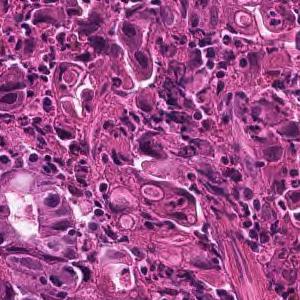
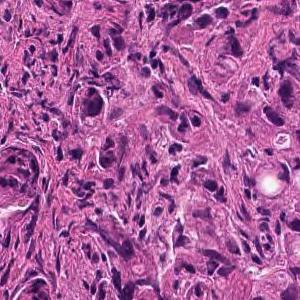
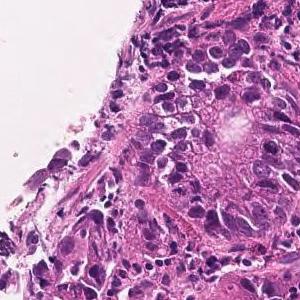
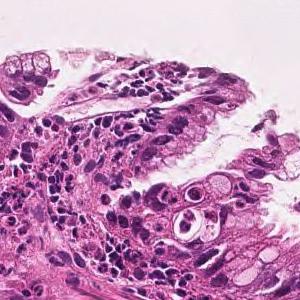
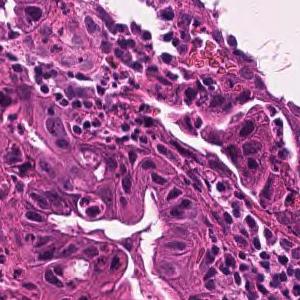
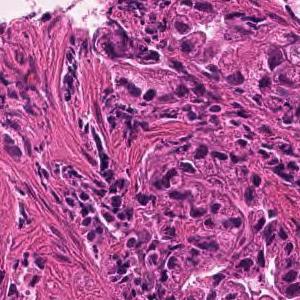
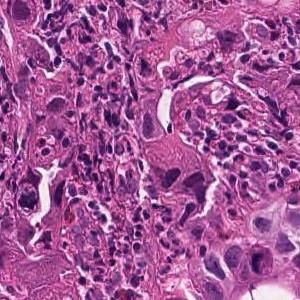
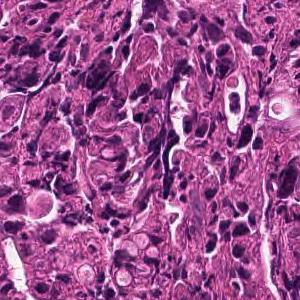
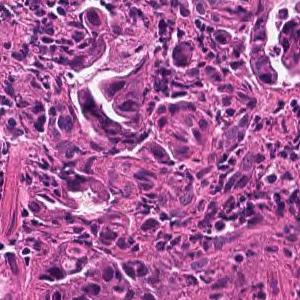
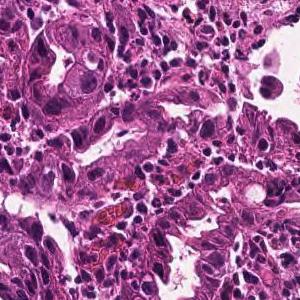
10 patches cut from one gastric biopsy slide · H&E stain.
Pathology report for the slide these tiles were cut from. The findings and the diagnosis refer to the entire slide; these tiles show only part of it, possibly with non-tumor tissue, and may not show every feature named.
Medium to small, irregular glandular ducts are formed in the superficial epithelium, and in some cases, the glandular ducts are fused to show solid alveolar lesions and infiltrating tumor tissue is observed. Moderately to poorly differentiated adenocarcinoma.
